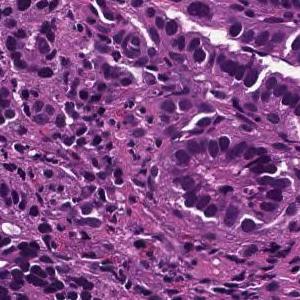
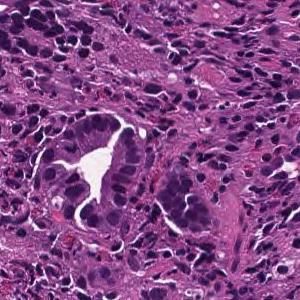
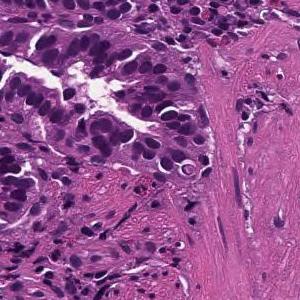
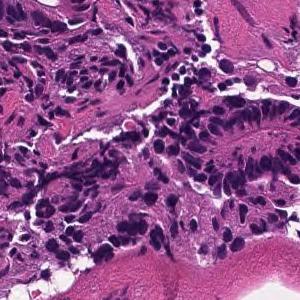
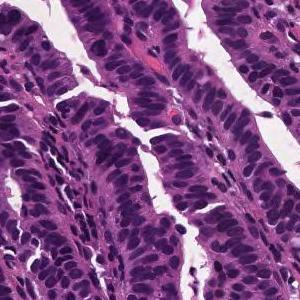
Hematoxylin and eosin stain, 20× magnification, 5 image tiles from a single gastric biopsy slide.
Pathology report for the slide these tiles were cut from. The findings and the diagnosis refer to the entire slide; these tiles show only part of it, possibly with non-tumor tissue, and may not show every feature named.
Tumor cells are large, highly columnar, large club-shaped nuclei, and are associated with chromatin aggregation. Papillary adenocarcinoma.
